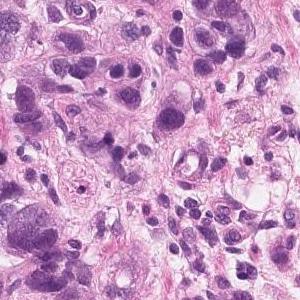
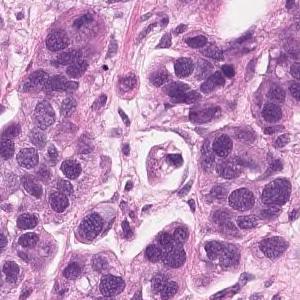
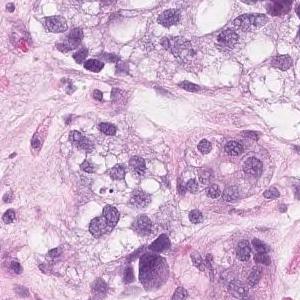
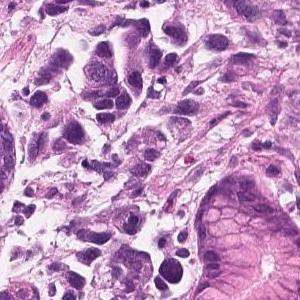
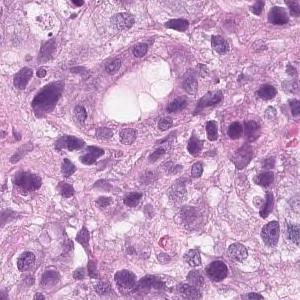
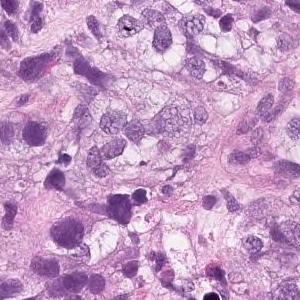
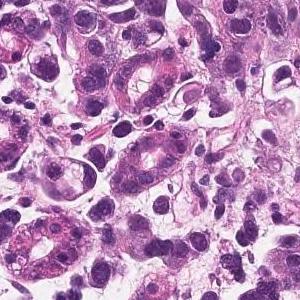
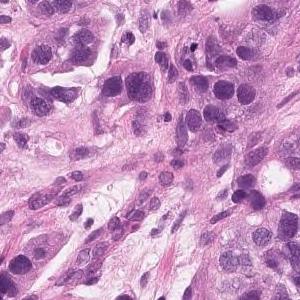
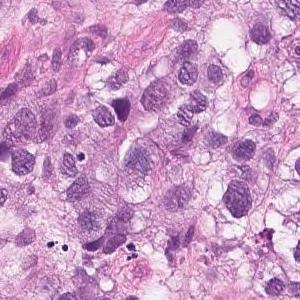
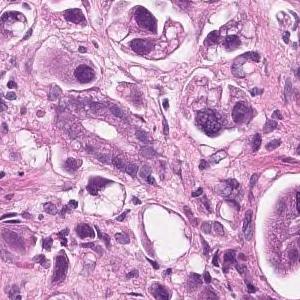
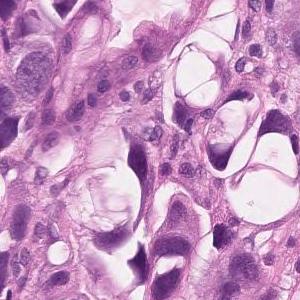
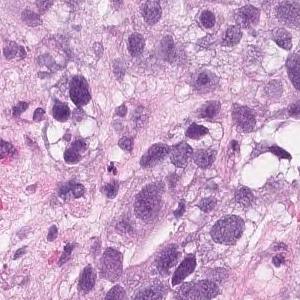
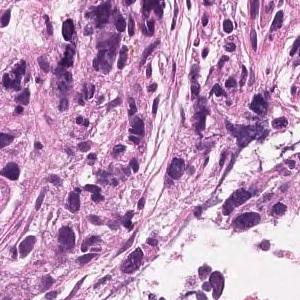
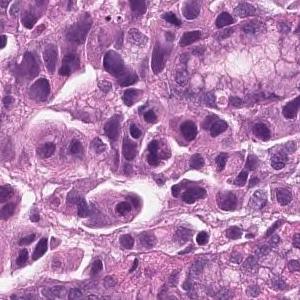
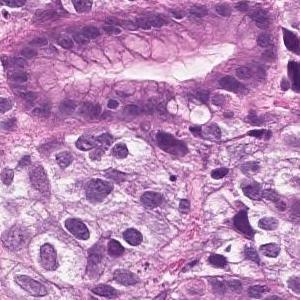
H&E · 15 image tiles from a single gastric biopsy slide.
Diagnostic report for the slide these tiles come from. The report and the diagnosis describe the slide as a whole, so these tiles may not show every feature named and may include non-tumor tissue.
Tumor tissue that infiltrates the epithelium in an alveolar manner. Poorly differentiated adenocarcinoma, solid-type
Subtype: Poorly differentiated adenocarcinoma, solid type (Japanese Classification of Gastric Carcinoma). The WHO 2019 equivalent is tubular adenocarcinoma, poorly differentiated.
